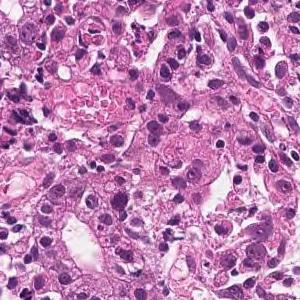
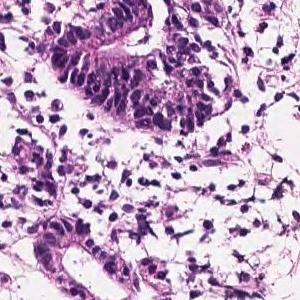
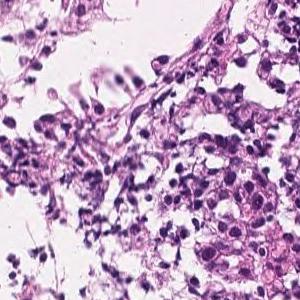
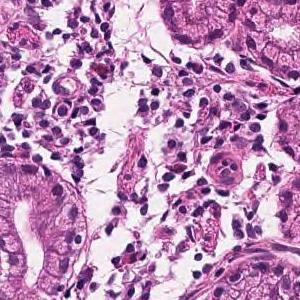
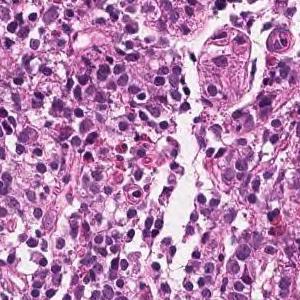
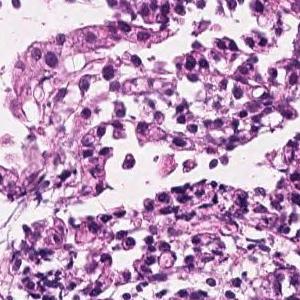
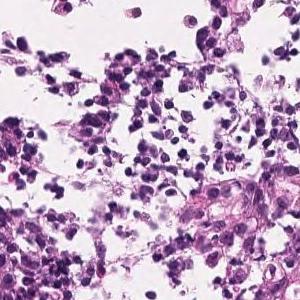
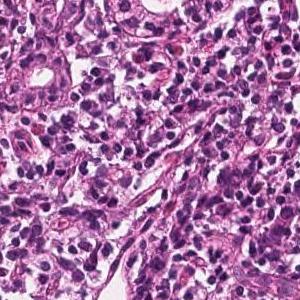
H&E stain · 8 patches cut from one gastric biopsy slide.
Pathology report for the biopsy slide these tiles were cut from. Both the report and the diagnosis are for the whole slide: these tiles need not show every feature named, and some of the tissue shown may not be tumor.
Tumor tissue consisting of cord-like or small, irregular glandular ducts fused and infiltrated is observed in the superficial epithelium. Poorly differentiated adenocarcinoma, non-solid type
The term "non-solid type" comes from the Japanese Classification of Gastric Carcinoma.
